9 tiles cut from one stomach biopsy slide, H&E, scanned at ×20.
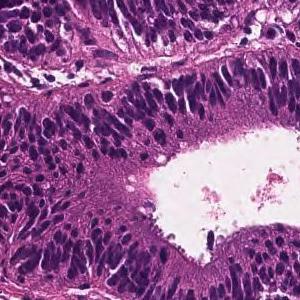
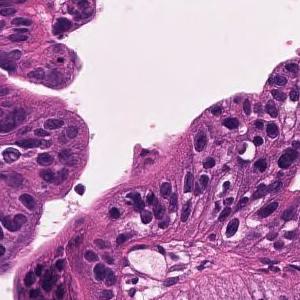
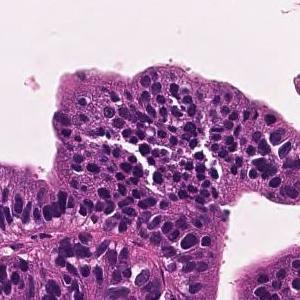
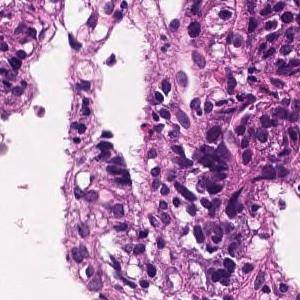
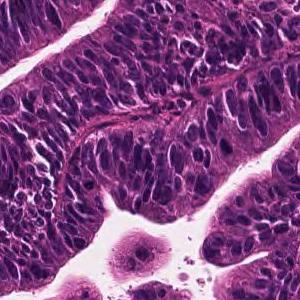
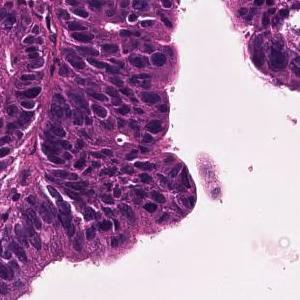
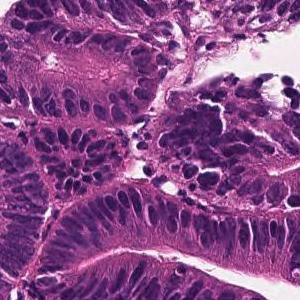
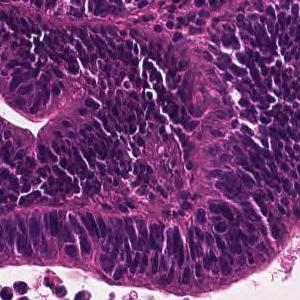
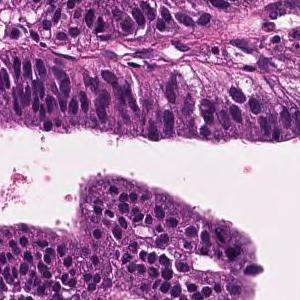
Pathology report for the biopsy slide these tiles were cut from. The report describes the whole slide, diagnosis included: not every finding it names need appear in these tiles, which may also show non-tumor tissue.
A large irregular tubular structure is exhibited in the epithelium, and tumor tissue that partially fuses and infiltrates and proliferates is observed. Large columnar tumor cells exhibit enlarged nucleus, hyperchromatism, and mitotic figures. Well differentiated tubular adenocarcinoma
